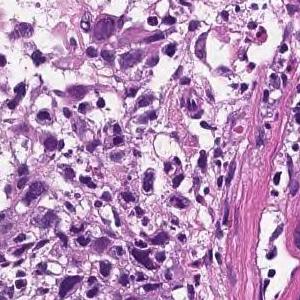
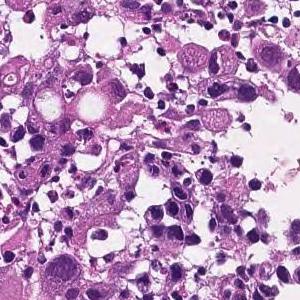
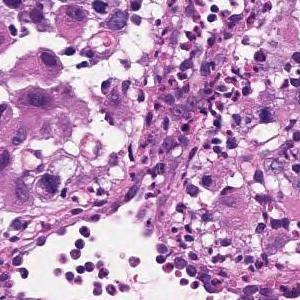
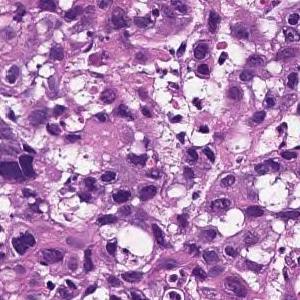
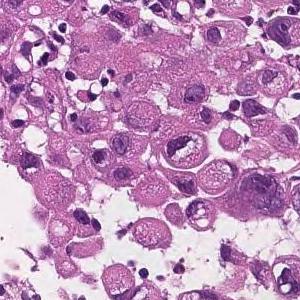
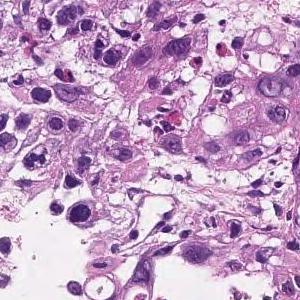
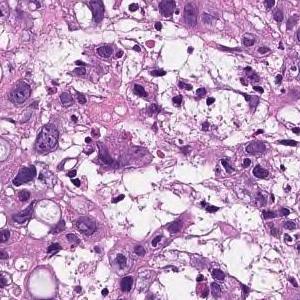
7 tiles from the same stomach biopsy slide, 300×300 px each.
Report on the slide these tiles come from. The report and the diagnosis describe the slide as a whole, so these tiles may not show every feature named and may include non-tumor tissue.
The superficial epithelium shows a large sheet-like shape, and some tumor tissue infiltrates with small irregular ducts. Poorly differentiated adenocarcinoma, solid-type
Classified as poorly differentiated adenocarcinoma, solid type, a category of the Japanese Classification of Gastric Carcinoma; in the WHO 2019 classification it is tubular adenocarcinoma, poorly differentiated.
